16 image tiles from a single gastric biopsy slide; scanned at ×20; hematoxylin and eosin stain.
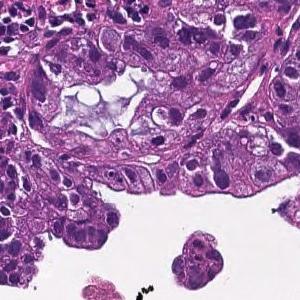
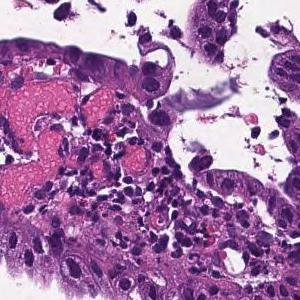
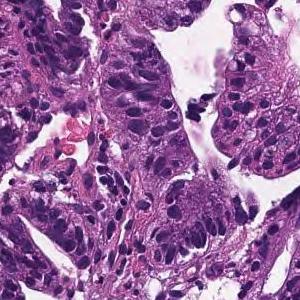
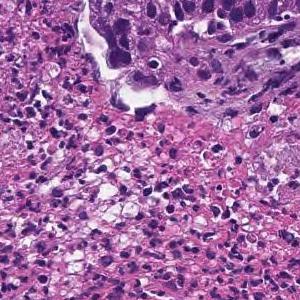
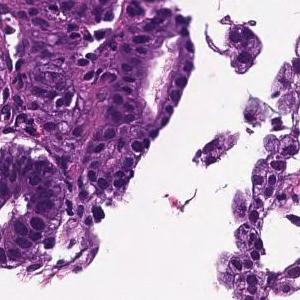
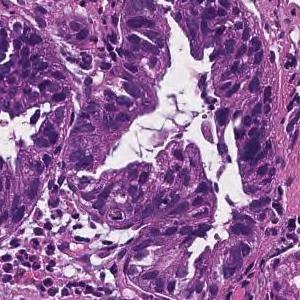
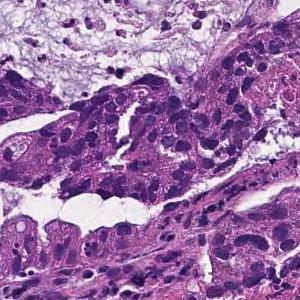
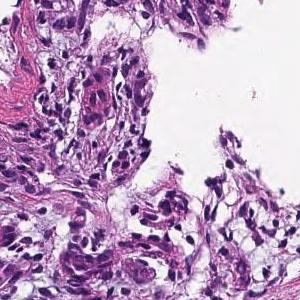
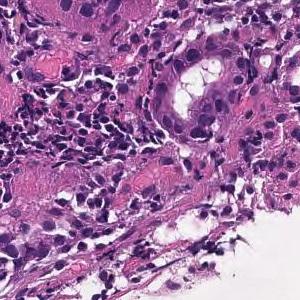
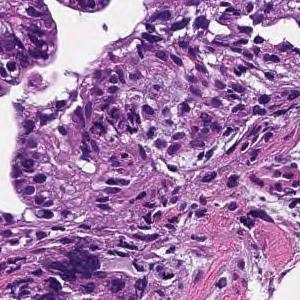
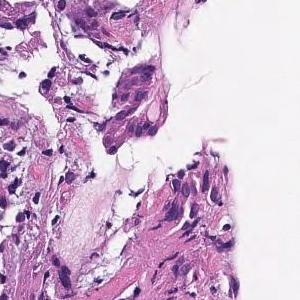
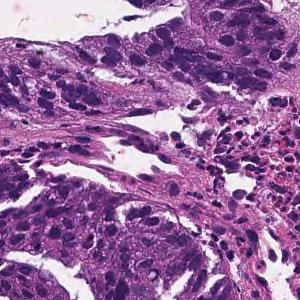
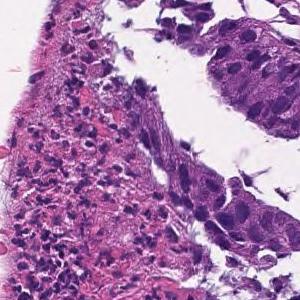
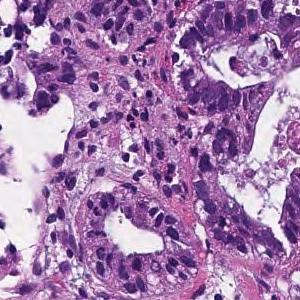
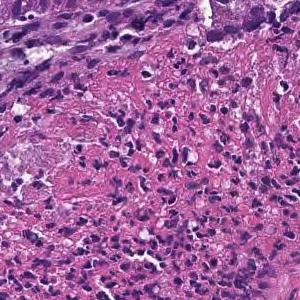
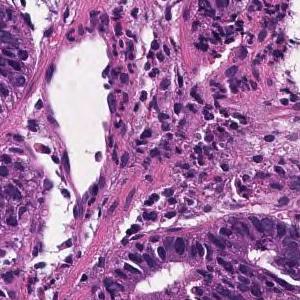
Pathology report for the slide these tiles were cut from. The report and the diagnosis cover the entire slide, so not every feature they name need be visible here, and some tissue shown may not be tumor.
From the superficial epithelium to the muscularis mucosae, tumor tissue consisting of medium-sized and irregular glandular ducts infiltrating is observed. Well differentiated tubular adenocarcinoma
